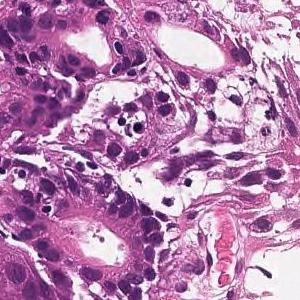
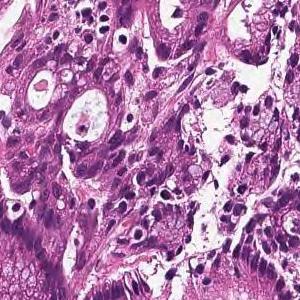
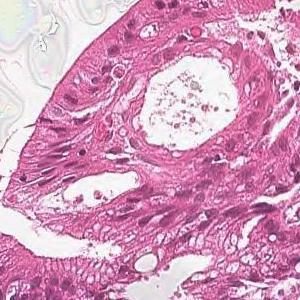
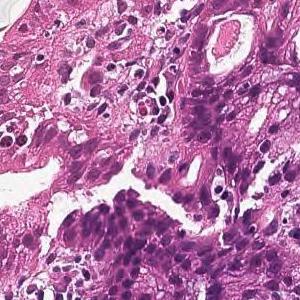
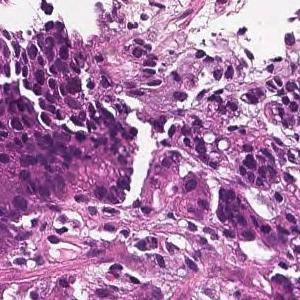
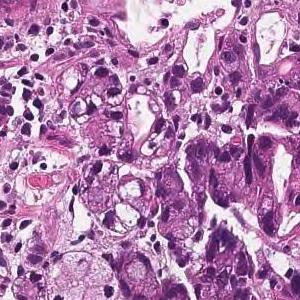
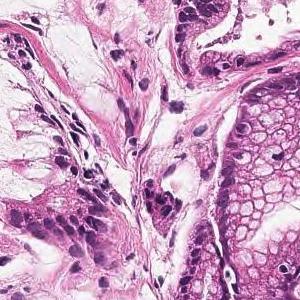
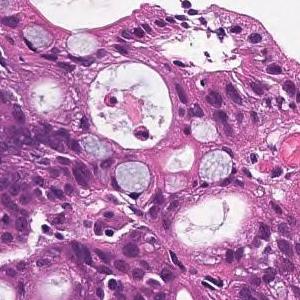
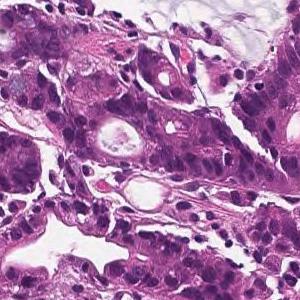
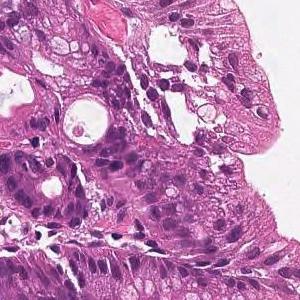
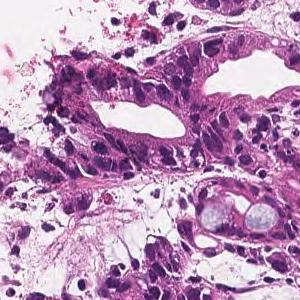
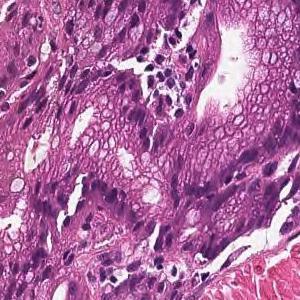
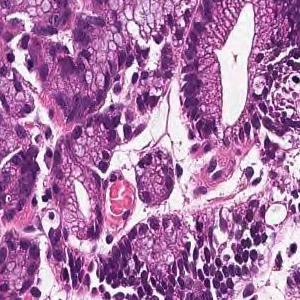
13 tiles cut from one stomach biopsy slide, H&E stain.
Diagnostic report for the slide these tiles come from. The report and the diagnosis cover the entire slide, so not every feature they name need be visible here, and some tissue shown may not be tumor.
In the superficial epithelium, tumor tissue that invades by forming medium-sized to small, irregular ducts is observed. moderately differentiated tubular adenocarcinoma.
